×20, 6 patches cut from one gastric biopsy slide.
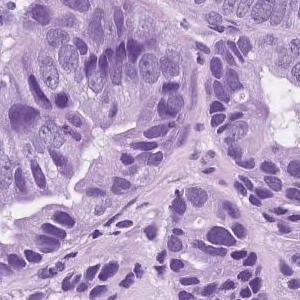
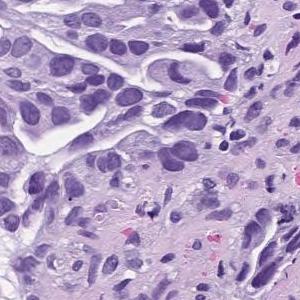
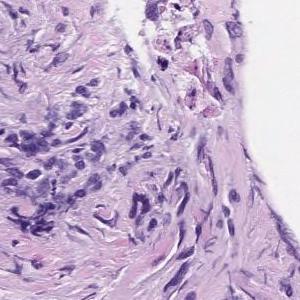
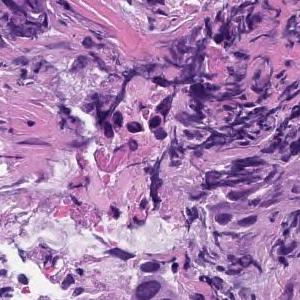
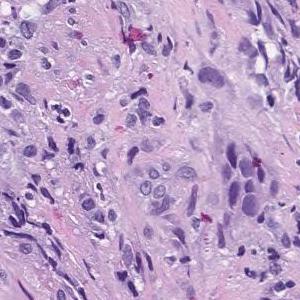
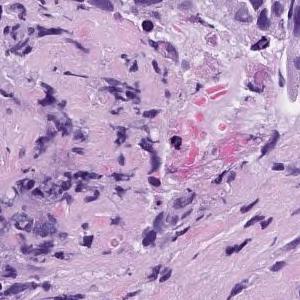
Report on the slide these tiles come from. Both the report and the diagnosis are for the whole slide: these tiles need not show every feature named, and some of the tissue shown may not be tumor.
In the superficial epithelium, tumor tissue that invades by forming medium-sized to small, irregular ducts is observed. moderately differentiated tubular adenocarcinoma.
